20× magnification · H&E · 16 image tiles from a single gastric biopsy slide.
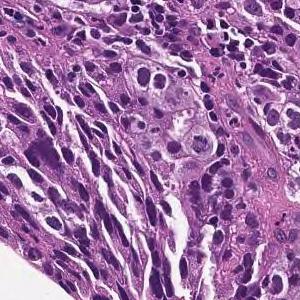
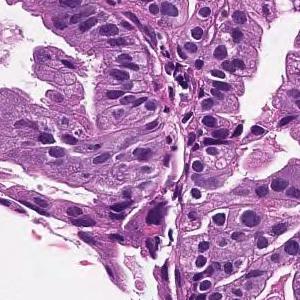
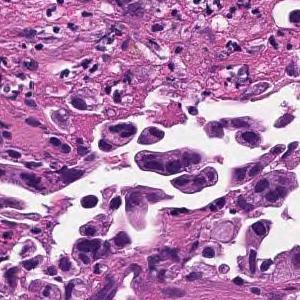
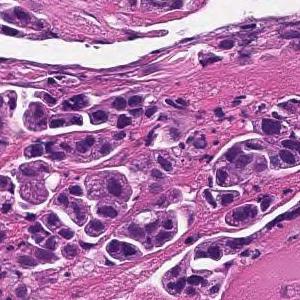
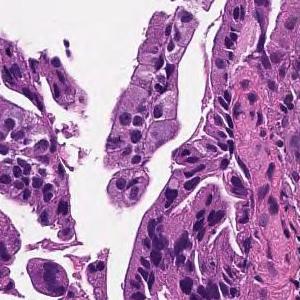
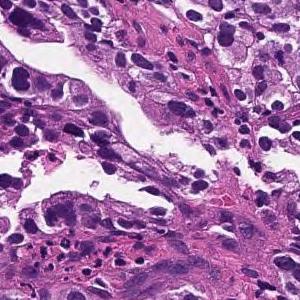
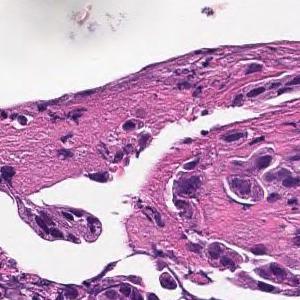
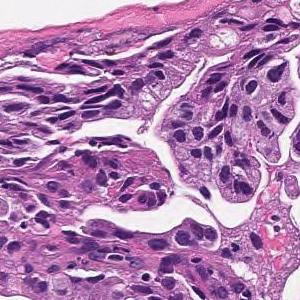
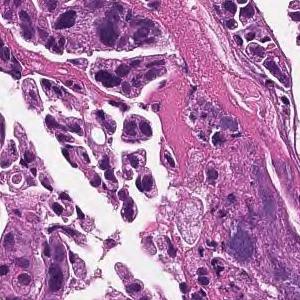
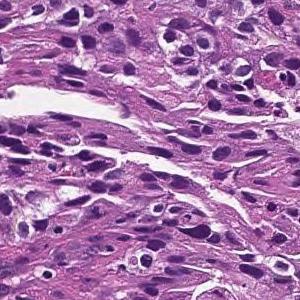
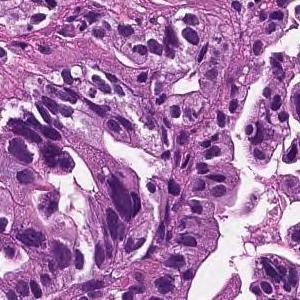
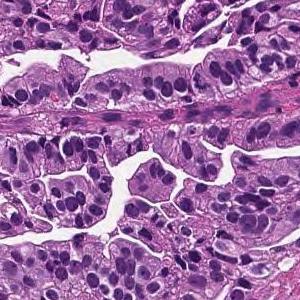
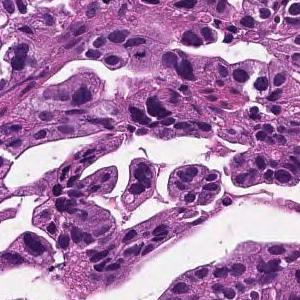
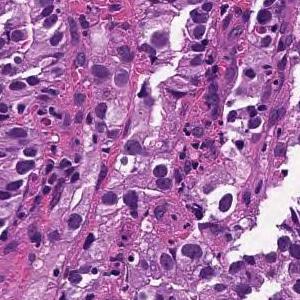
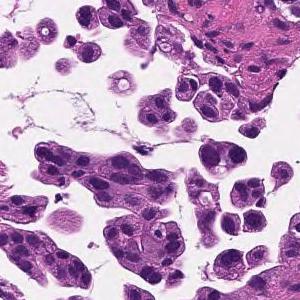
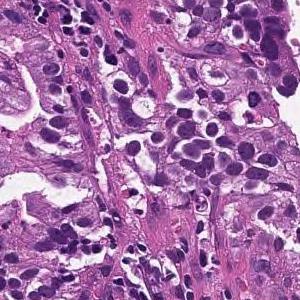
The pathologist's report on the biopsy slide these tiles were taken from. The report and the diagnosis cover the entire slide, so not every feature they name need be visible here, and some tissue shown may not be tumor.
Medium to small, irregular glandular ducts are formed in the superficial epithelium, and in some cases, the glandular ducts are fused to show solid alveolar lesions and infiltrating tumor tissue is observed. Moderately to poorly differentiated adenocarcinoma.
